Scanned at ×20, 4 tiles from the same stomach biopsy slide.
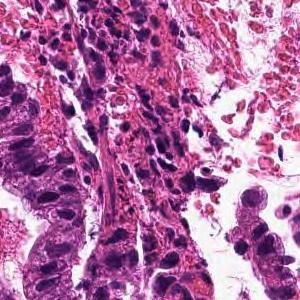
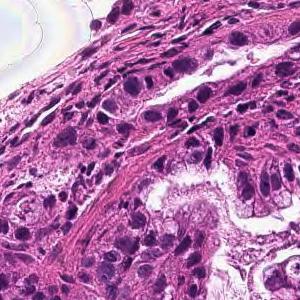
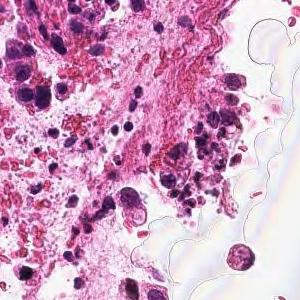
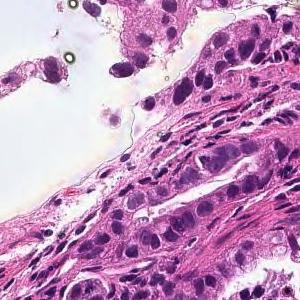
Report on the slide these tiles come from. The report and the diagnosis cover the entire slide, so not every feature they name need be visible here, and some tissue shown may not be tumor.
From the superficial epithelium to the muscularis mucosae, tumor tissue infiltrating by forming medium-sized irregular gland ducts is observed. Well differentiated tubular adenocarcinoma
